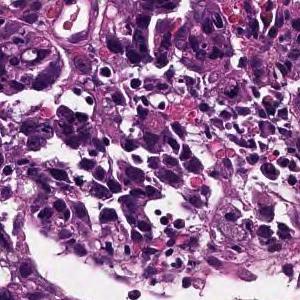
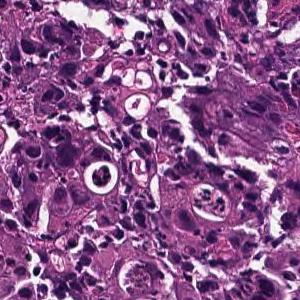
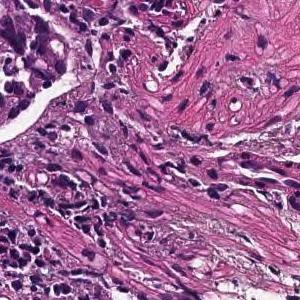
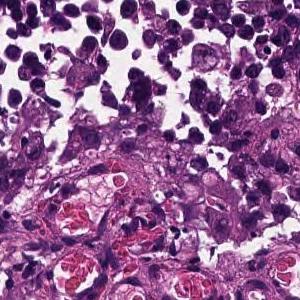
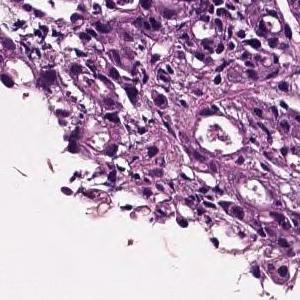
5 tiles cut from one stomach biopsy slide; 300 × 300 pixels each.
Report on the slide these tiles come from. The report and the diagnosis cover the entire slide, so not every feature they name need be visible here, and some tissue shown may not be tumor.
The superficial epithelium shows a large sheet-like shape, and some tumor tissue infiltrates with small irregular ducts. Poorly differentiated adenocarcinoma, solid-type
Tumor subtype: poorly differentiated adenocarcinoma, solid type, a category of the Japanese Classification of Gastric Carcinoma; in the WHO 2019 classification it is tubular adenocarcinoma, poorly differentiated.
